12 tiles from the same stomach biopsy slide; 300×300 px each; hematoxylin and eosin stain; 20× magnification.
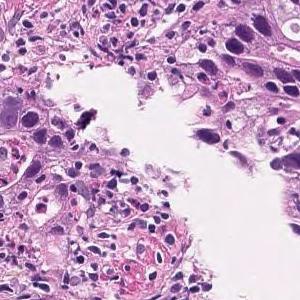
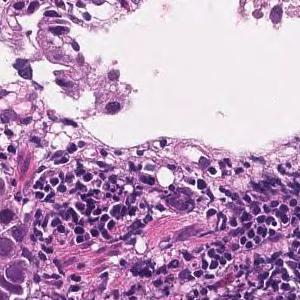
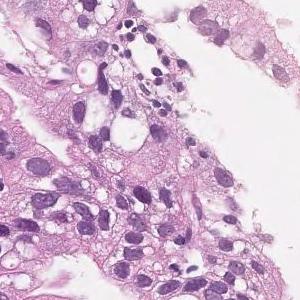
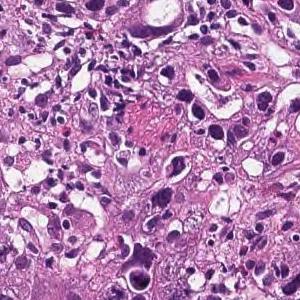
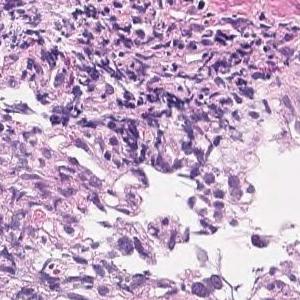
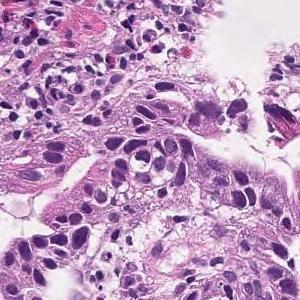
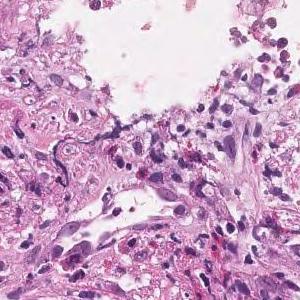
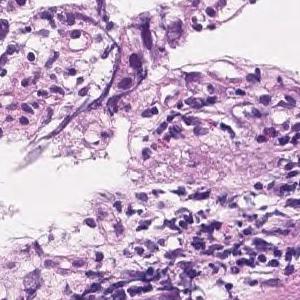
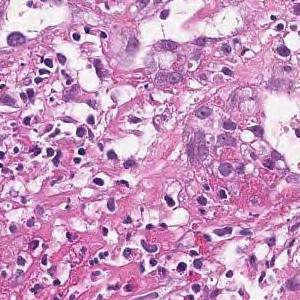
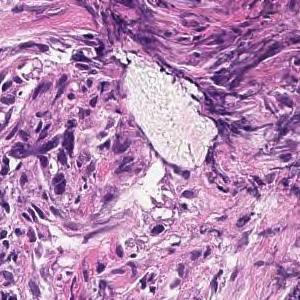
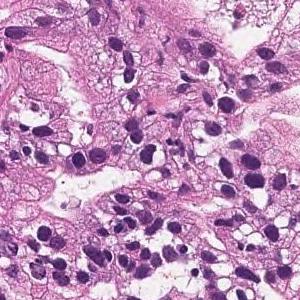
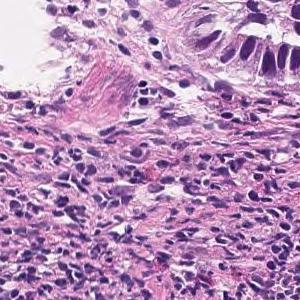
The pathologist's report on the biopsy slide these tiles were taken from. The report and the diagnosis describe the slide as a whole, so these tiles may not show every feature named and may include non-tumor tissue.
In the superficial epithelium, tumor tissue that invades by forming medium-sized to small, irregular ducts is observed. moderately differentiated tubular adenocarcinoma.
